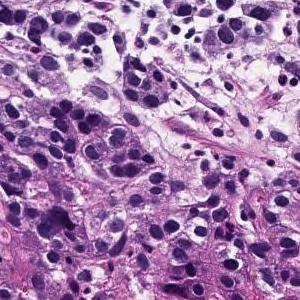
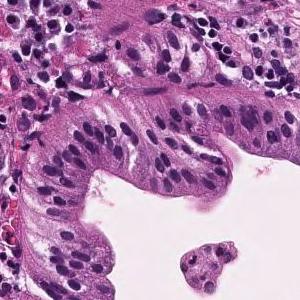
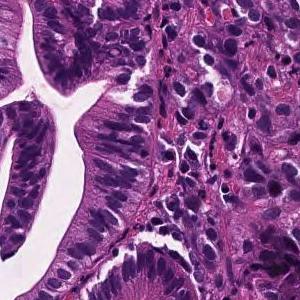
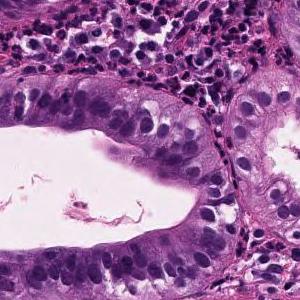
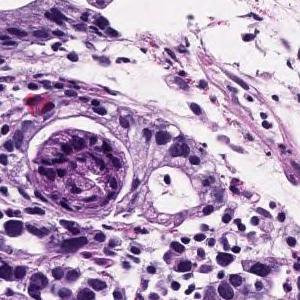
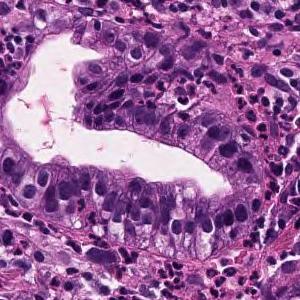
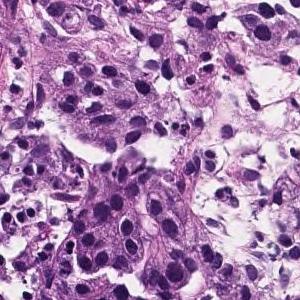
H&E · 7 patches cut from one gastric biopsy slide · 300 × 300 pixels each.
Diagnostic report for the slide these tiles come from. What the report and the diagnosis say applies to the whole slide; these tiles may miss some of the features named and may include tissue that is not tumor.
In the superficial epithelium, tumor tissue that invades by forming medium-sized to small, irregular ducts is observed. moderately differentiated tubular adenocarcinoma.
